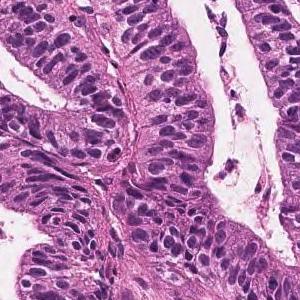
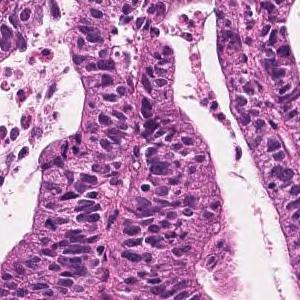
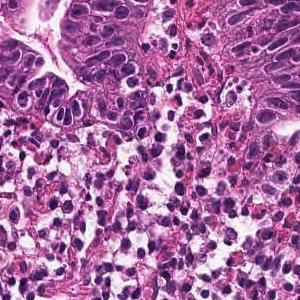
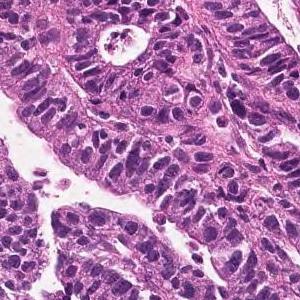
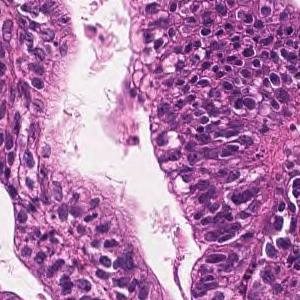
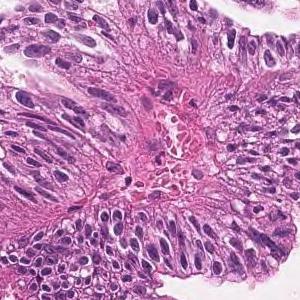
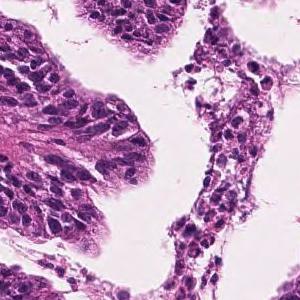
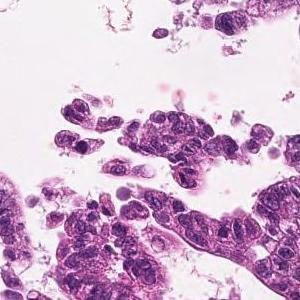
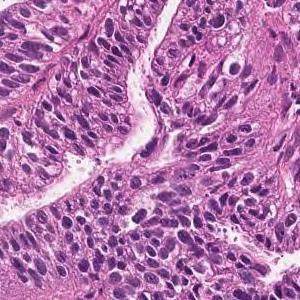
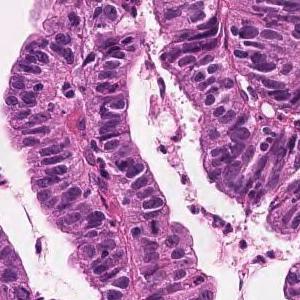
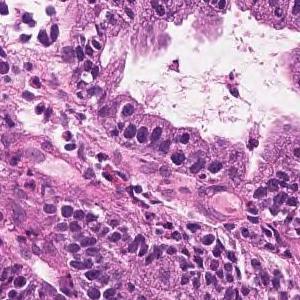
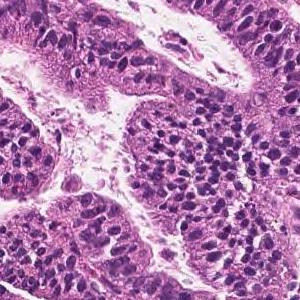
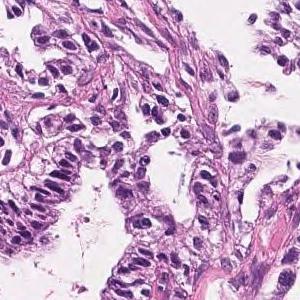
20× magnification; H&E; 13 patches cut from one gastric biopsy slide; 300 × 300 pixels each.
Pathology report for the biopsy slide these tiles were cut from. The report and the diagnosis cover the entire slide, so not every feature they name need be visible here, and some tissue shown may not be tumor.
Tumor cells are large, highly columnar, large club-shaped nuclei, and are associated with chromatin aggregation. Papillary adenocarcinoma.
